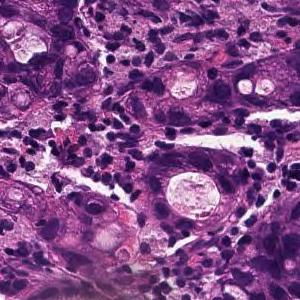
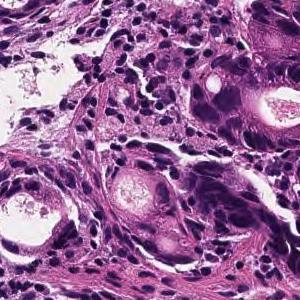
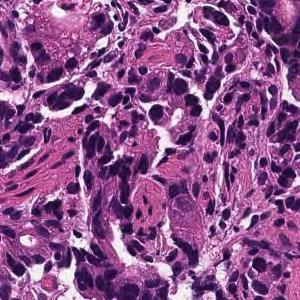
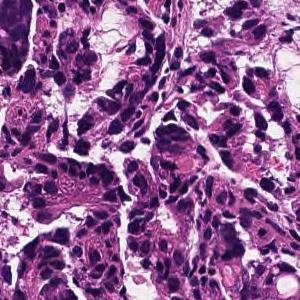
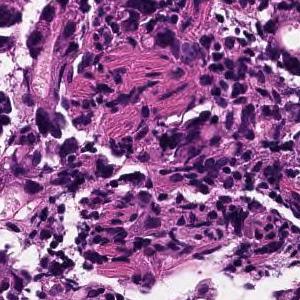
5 tiles from the same stomach biopsy slide, each 300 × 300 pixels, H&E stain, ×20.
Pathology report for the slide these tiles were cut from. The report and the diagnosis describe the slide as a whole, so these tiles may not show every feature named and may include non-tumor tissue.
In the superficial epithelium, tumor tissue that invades by forming medium-sized to small, irregular ducts is observed. moderately differentiated tubular adenocarcinoma.
